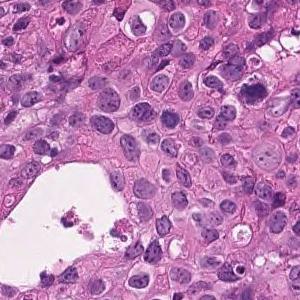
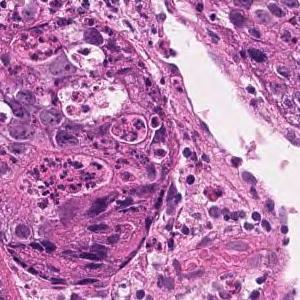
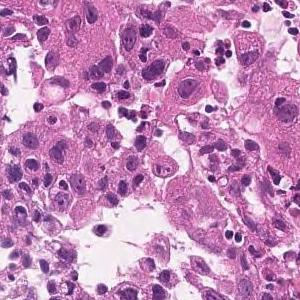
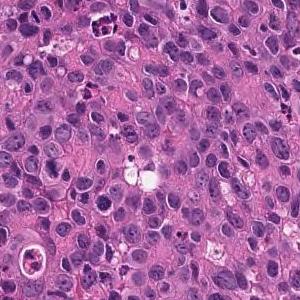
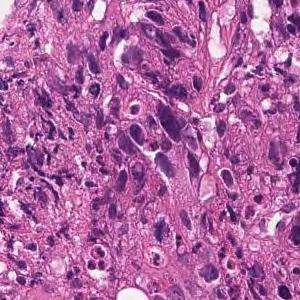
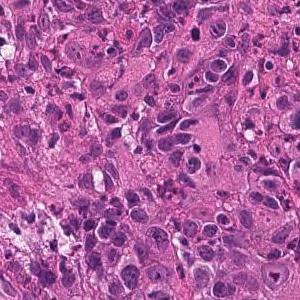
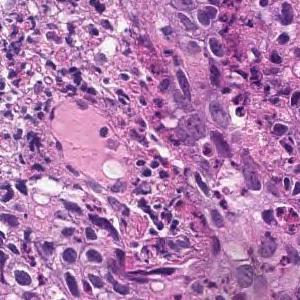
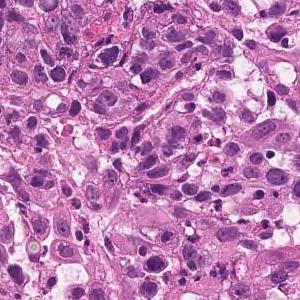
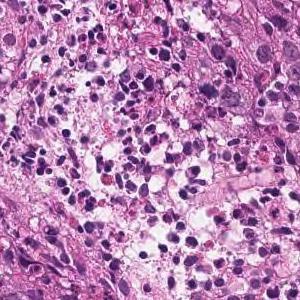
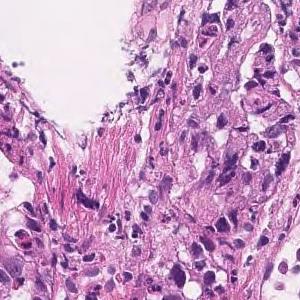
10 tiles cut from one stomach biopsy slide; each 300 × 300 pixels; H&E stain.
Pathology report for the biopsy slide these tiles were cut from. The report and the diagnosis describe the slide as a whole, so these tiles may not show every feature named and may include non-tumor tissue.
The superficial epithelium shows a large sheet-like shape, and some tumor tissue infiltrates with small irregular ducts. Poorly differentiated adenocarcinoma, solid-type
Histologic type: Poorly differentiated adenocarcinoma, solid type (Japanese Classification of Gastric Carcinoma). The WHO 2019 equivalent is tubular adenocarcinoma, poorly differentiated.
